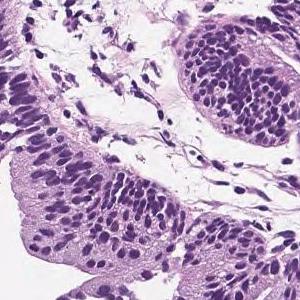
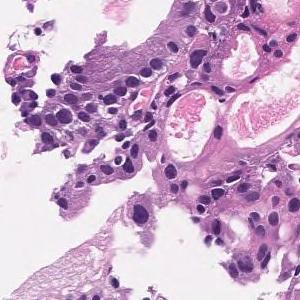
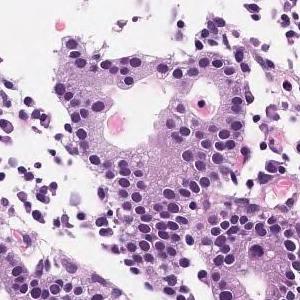
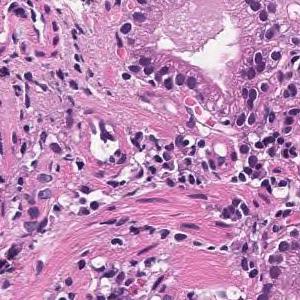
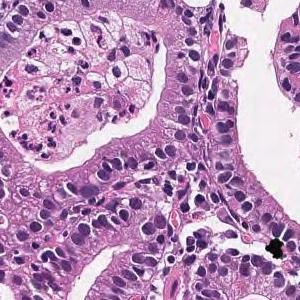
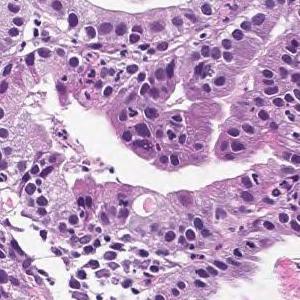
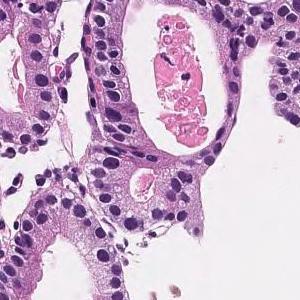
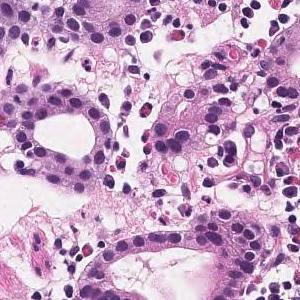
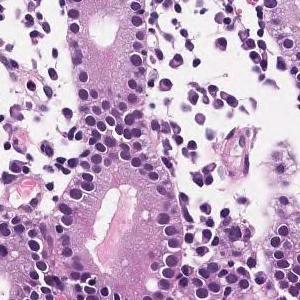
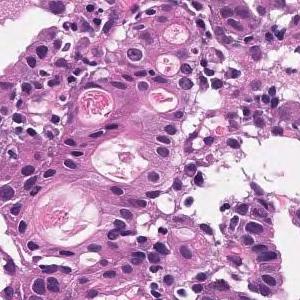
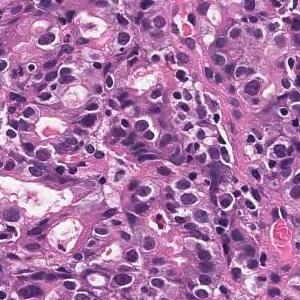
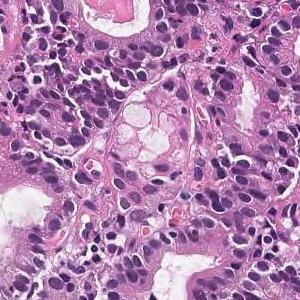
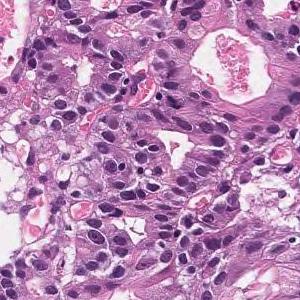
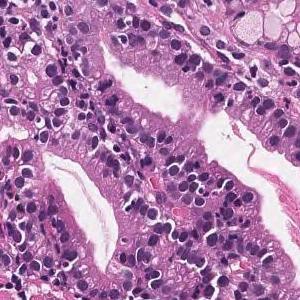
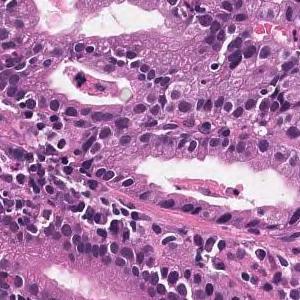
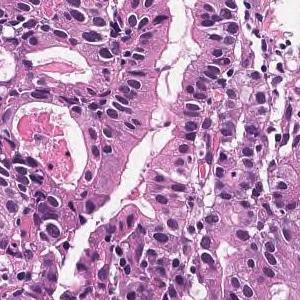
H&E · 20× magnification · 16 tiles cut from one stomach biopsy slide.
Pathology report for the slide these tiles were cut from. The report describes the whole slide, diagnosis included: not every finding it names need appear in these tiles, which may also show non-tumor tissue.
Medium to small, irregular glandular ducts are formed in the superficial epithelium, and in some cases, the glandular ducts are fused to show solid alveolar lesions and infiltrating tumor tissue is observed. Moderately to poorly differentiated adenocarcinoma.
